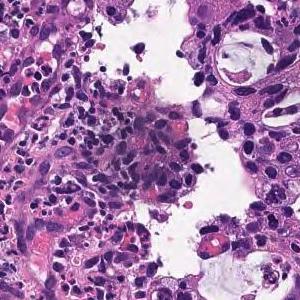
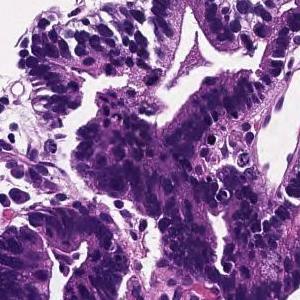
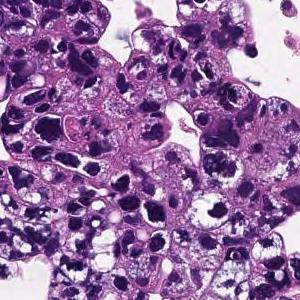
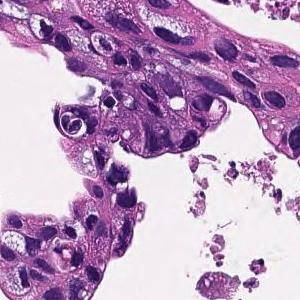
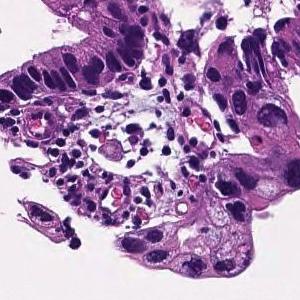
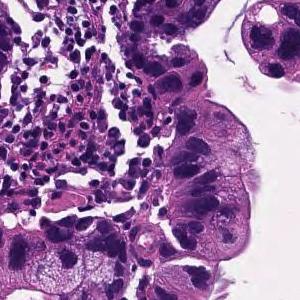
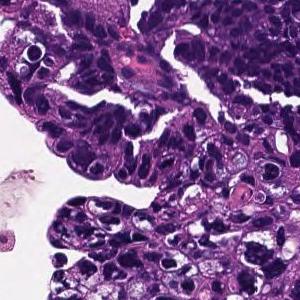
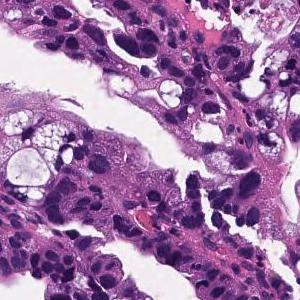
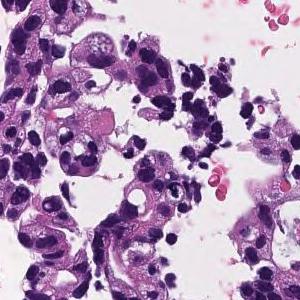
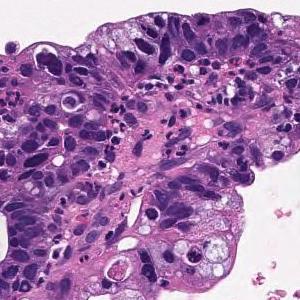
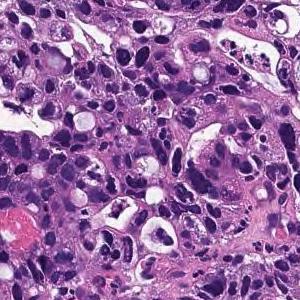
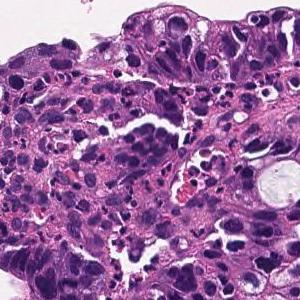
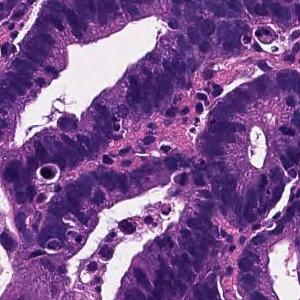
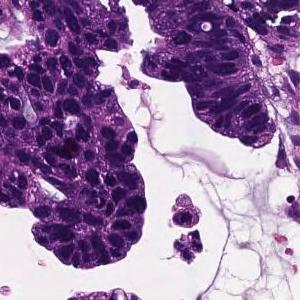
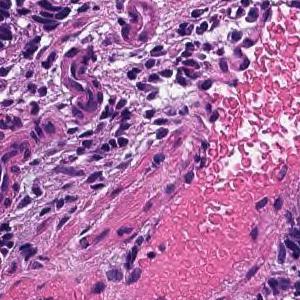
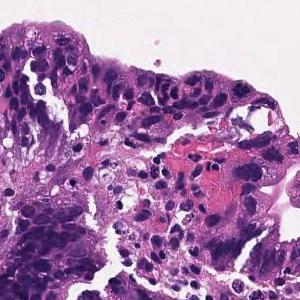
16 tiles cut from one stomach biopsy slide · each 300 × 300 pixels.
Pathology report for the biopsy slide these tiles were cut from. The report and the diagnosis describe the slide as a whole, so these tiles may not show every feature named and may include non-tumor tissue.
In the superficial epithelium, tumor tissue that invades by forming medium-sized to small, irregular ducts is observed. moderately differentiated tubular adenocarcinoma.
